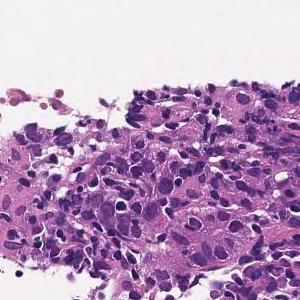
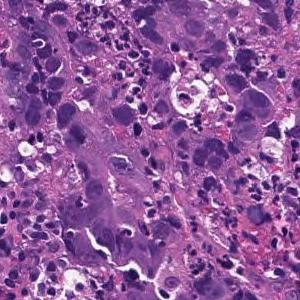
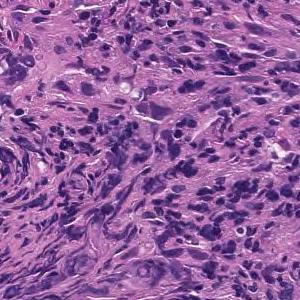
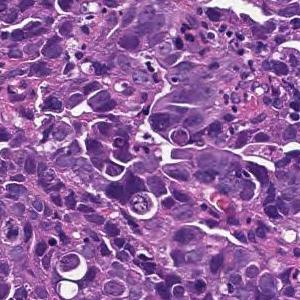
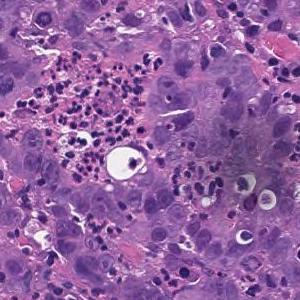
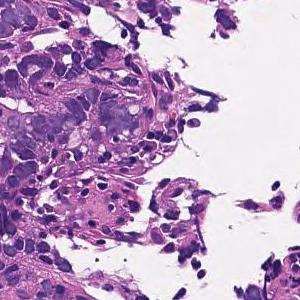
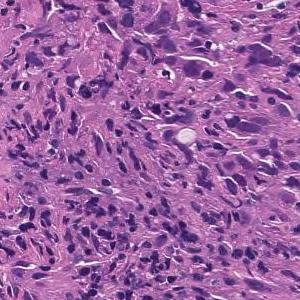
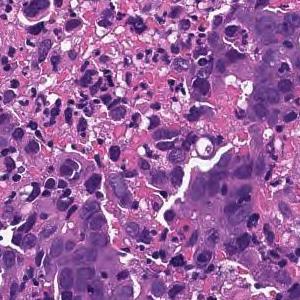
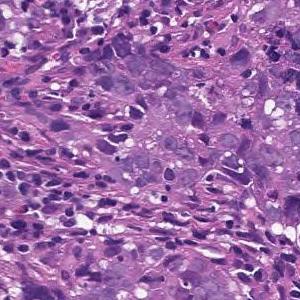
9 tiles from the same stomach biopsy slide.
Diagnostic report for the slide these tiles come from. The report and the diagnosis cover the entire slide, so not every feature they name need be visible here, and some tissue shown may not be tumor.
Tumor tissue consisting of cord-like or small, irregular glandular ducts fused and infiltrated is observed in the superficial epithelium. Poorly differentiated adenocarcinoma, non-solid type
"Non-solid type" is a category of the Japanese Classification of Gastric Carcinoma.
